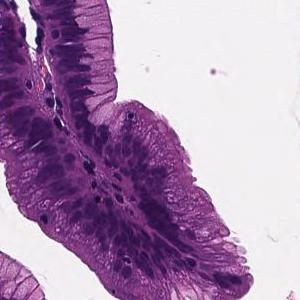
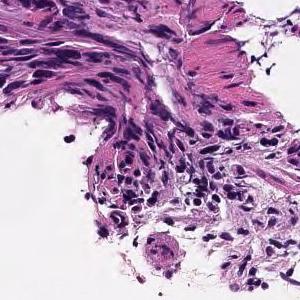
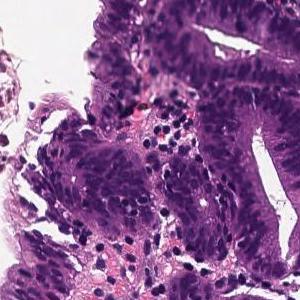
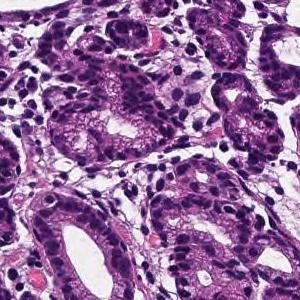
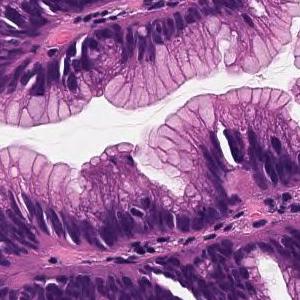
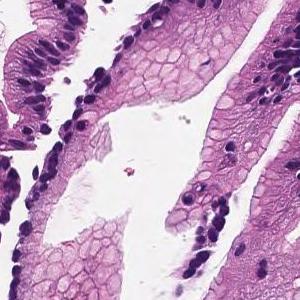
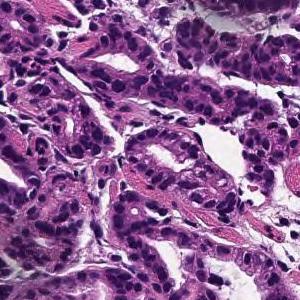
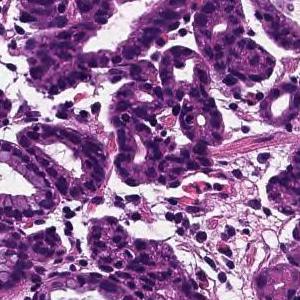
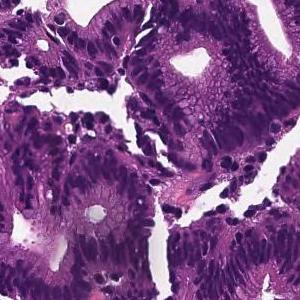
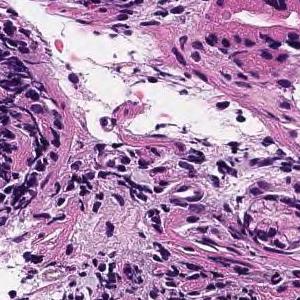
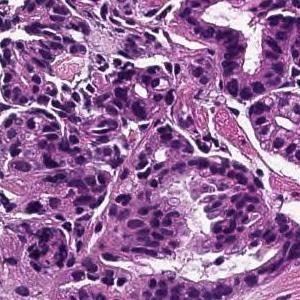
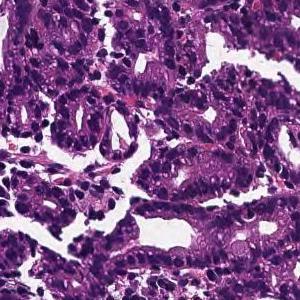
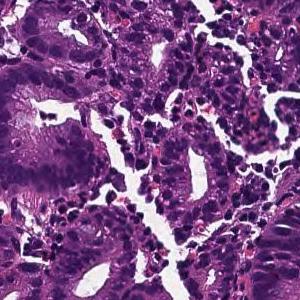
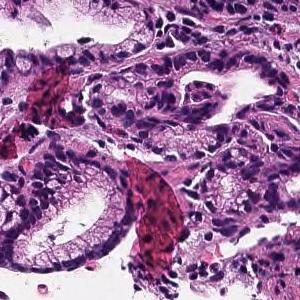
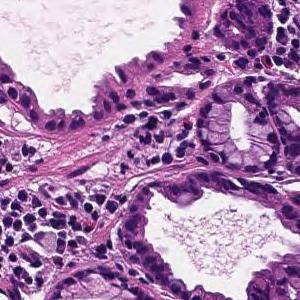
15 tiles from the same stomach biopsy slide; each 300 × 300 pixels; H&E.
Pathology report for the biopsy slide these tiles were cut from. The report and the diagnosis cover the entire slide, so not every feature they name need be visible here, and some tissue shown may not be tumor.
Cells with elliptical or atypical nuclei form dense ducts with relatively clear growth. Well differentiated tubular adenocarcinoma
